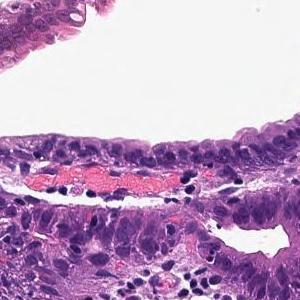
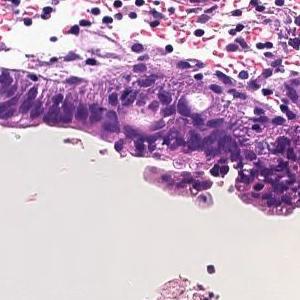
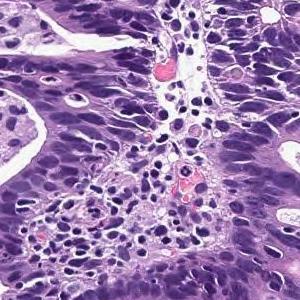
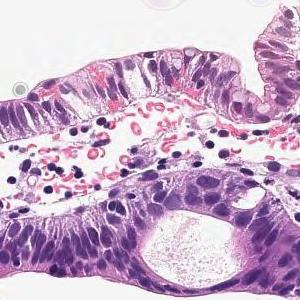
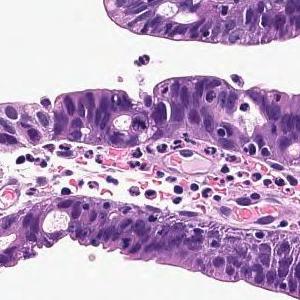
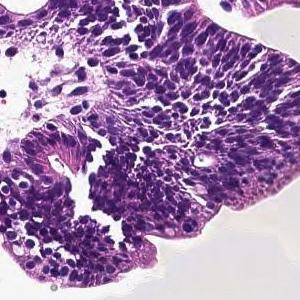
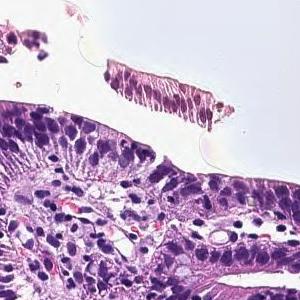
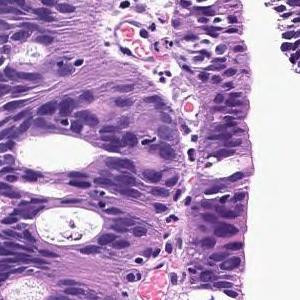
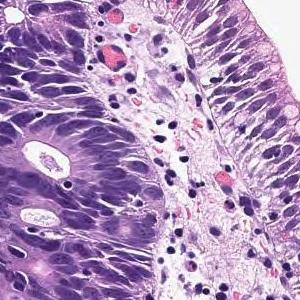
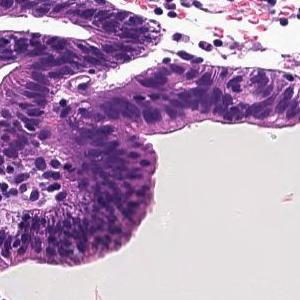
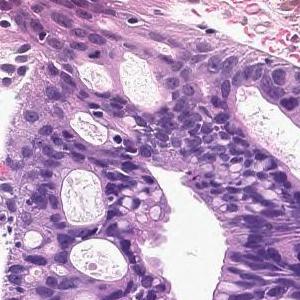
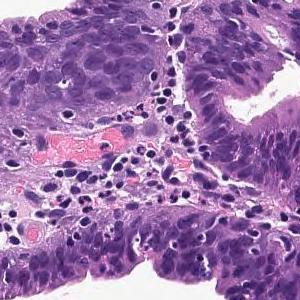
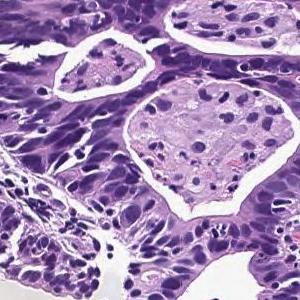
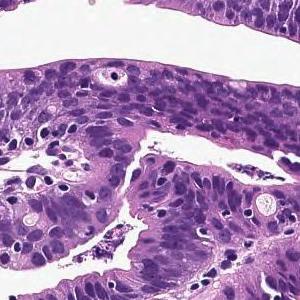
20× magnification · H&E · 14 patches cut from one gastric biopsy slide · 300 × 300 pixels each.
The pathologist's report on the biopsy slide these tiles were taken from. Both the report and the diagnosis are for the whole slide: these tiles need not show every feature named, and some of the tissue shown may not be tumor.
Infiltrating tumor tissue is observed in the superficial epithelium, showing large papillary structures or large and small ducts. Papillary adenocarcinoma
